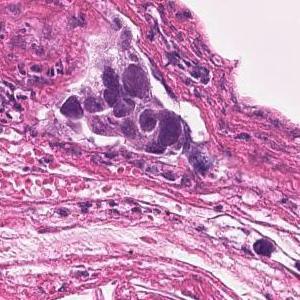
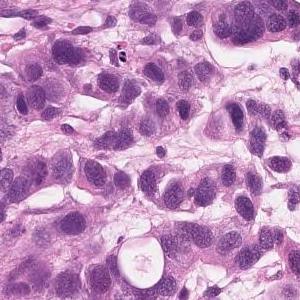
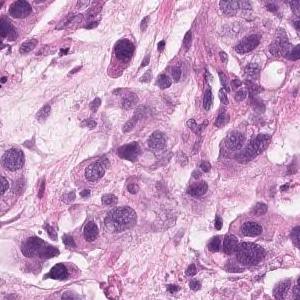
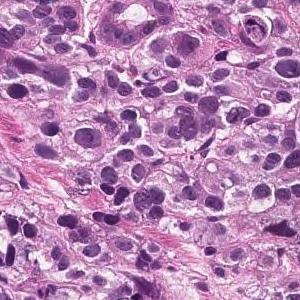
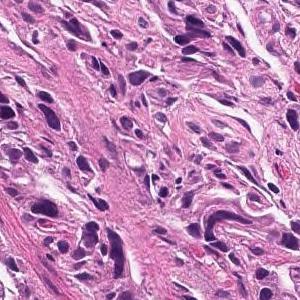
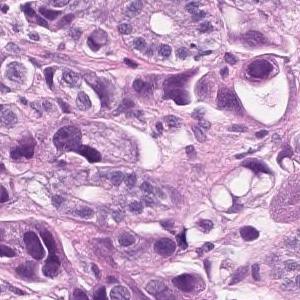
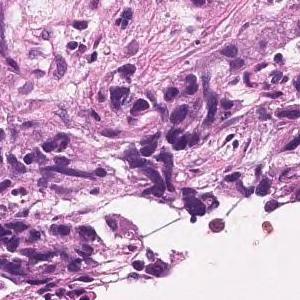
20× magnification; 7 tiles from the same stomach biopsy slide; 300×300 px each.
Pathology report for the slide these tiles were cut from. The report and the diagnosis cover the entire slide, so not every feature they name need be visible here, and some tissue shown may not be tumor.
Tumor tissue that infiltrates the epithelium in an alveolar manner. Poorly differentiated adenocarcinoma, solid-type
Histologic type: Poorly differentiated adenocarcinoma, solid type, a category of the Japanese Classification of Gastric Carcinoma; in the WHO 2019 classification it is tubular adenocarcinoma, poorly differentiated.
